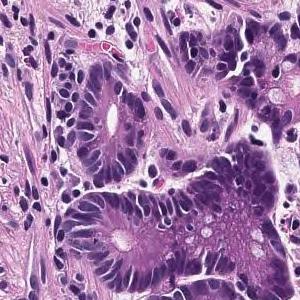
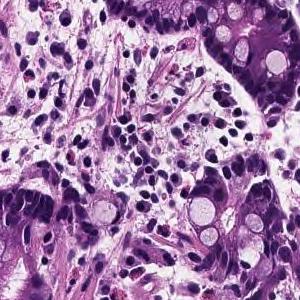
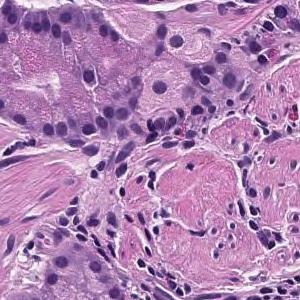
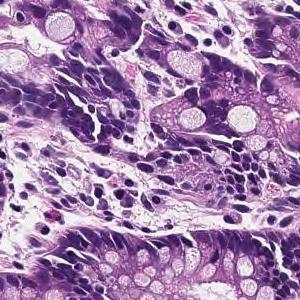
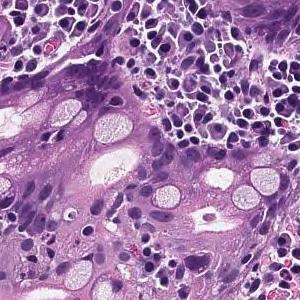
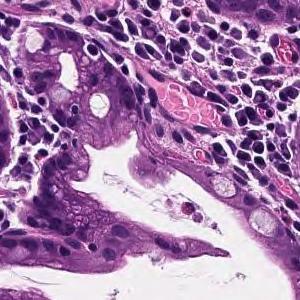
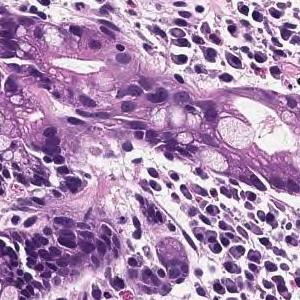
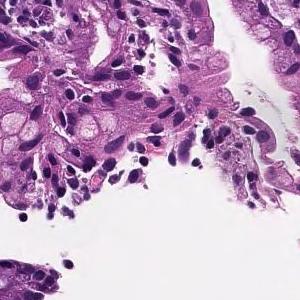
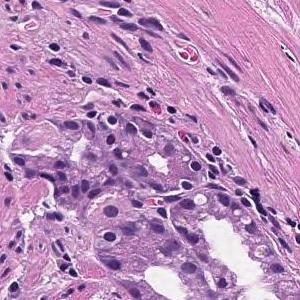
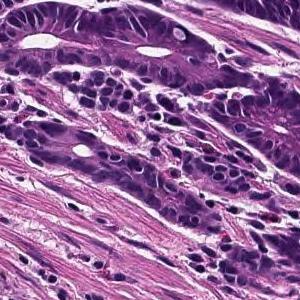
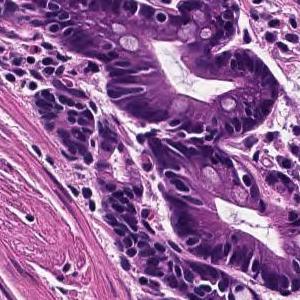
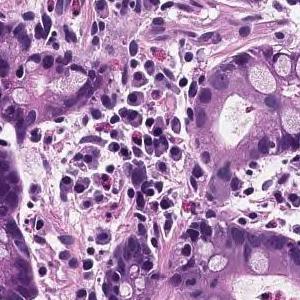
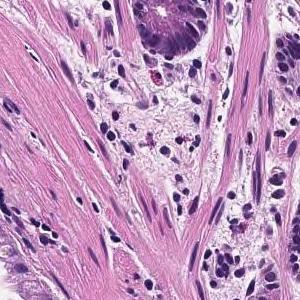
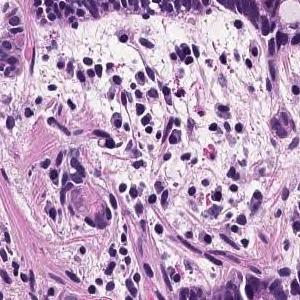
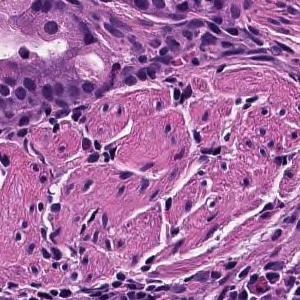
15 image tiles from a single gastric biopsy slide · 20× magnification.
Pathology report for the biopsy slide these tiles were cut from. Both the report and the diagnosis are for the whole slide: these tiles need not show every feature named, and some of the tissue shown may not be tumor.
From the superficial epithelium to the muscularis mucosae, tumor tissue consisting of medium-sized and irregular glandular ducts infiltrating is observed. Well differentiated tubular adenocarcinoma
